20× magnification; 6 tiles from the same stomach biopsy slide.
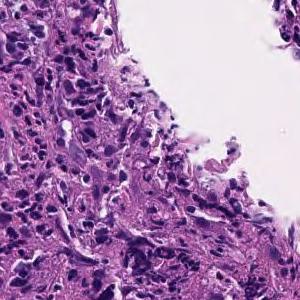
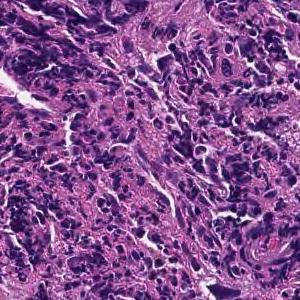
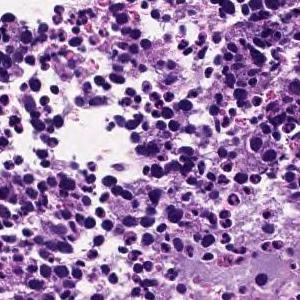
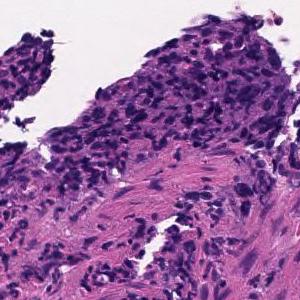
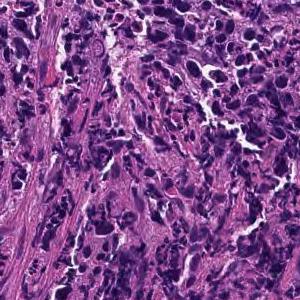
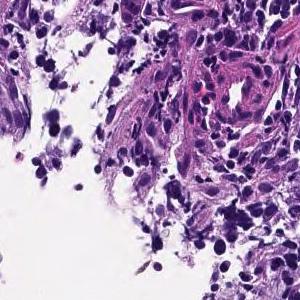
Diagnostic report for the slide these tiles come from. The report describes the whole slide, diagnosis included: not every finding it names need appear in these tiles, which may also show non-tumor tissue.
Tumor tissue consisting of cord-like or small, irregular glandular ducts fused and infiltrated is observed in the superficial epithelium. Poorly differentiated adenocarcinoma, non-solid type
The term "non-solid type" comes from the Japanese Classification of Gastric Carcinoma.
